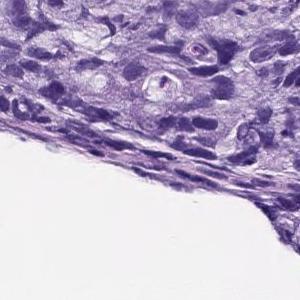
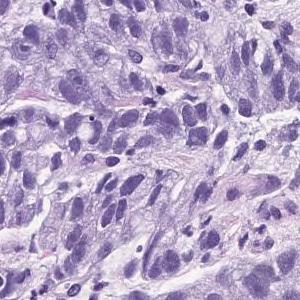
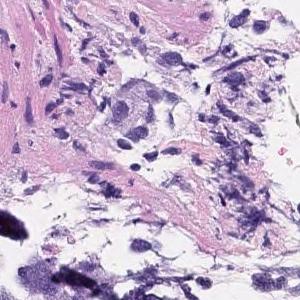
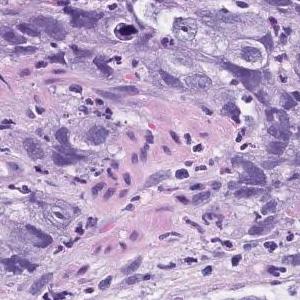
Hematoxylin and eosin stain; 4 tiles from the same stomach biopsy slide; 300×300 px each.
Pathology report for the slide these tiles were cut from. The report describes the whole slide, diagnosis included: not every finding it names need appear in these tiles, which may also show non-tumor tissue.
Atypical l cells with atypical nuclei forming solid vesicles or small irregular atypical ducts that proliferate in a complex manner. poorly differentiated adenocarcinoma, solid type, moderately differentiated tubular adenocarcinoma
The solid type named here is a Japanese Classification of Gastric Carcinoma category; WHO 2019 calls it tubular adenocarcinoma, poorly differentiated.
